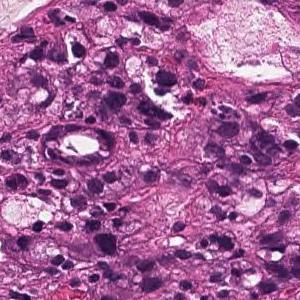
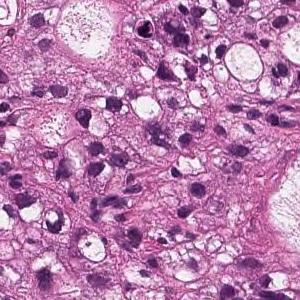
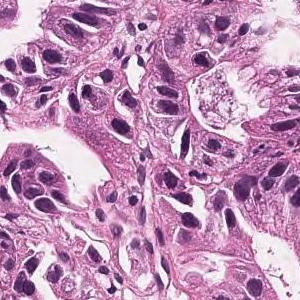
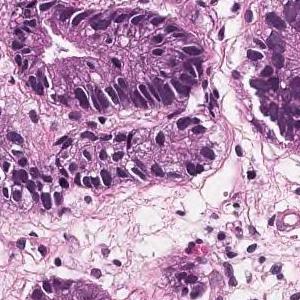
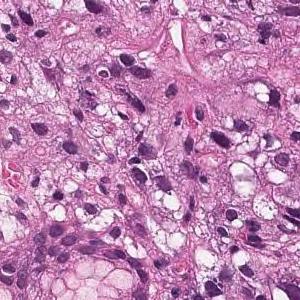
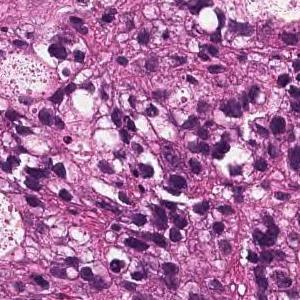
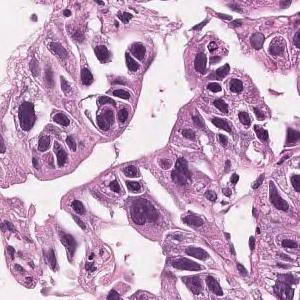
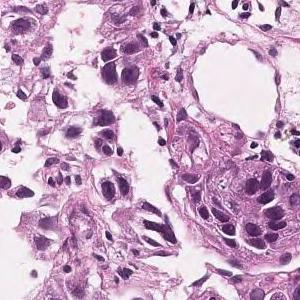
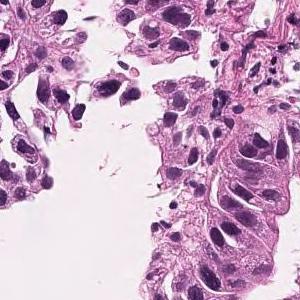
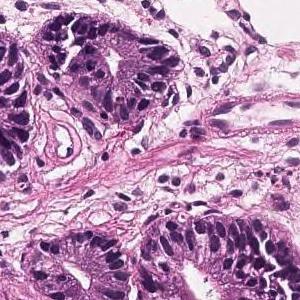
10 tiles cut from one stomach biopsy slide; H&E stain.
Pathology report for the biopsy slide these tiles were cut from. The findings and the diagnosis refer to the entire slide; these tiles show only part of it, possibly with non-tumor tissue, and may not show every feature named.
Medium to small, irregular glandular ducts are formed in the superficial epithelium, and in some cases, the glandular ducts are fused to show solid alveolar lesions and infiltrating tumor tissue is observed. Moderately to poorly differentiated adenocarcinoma.
